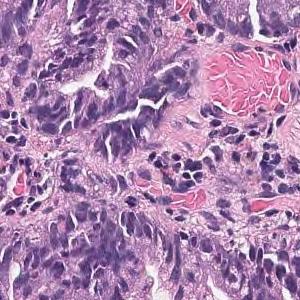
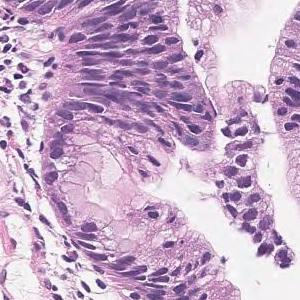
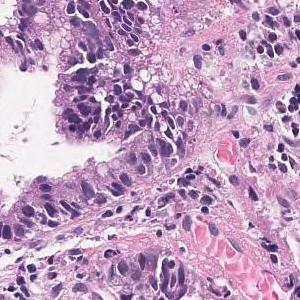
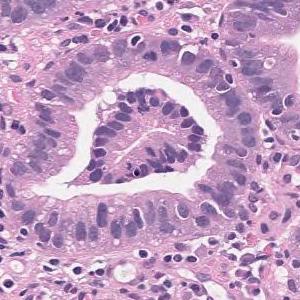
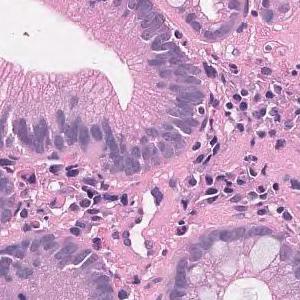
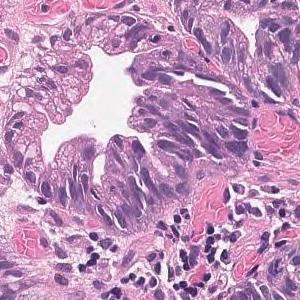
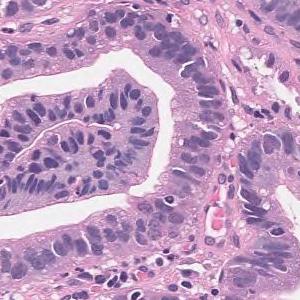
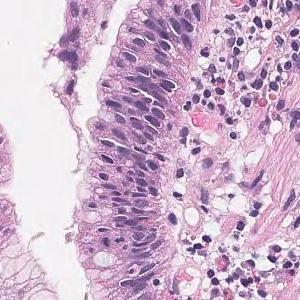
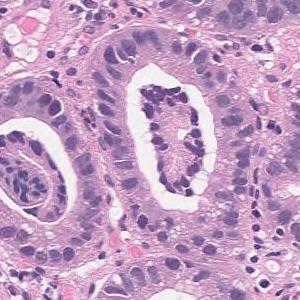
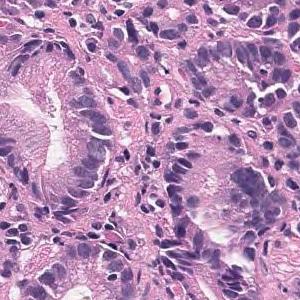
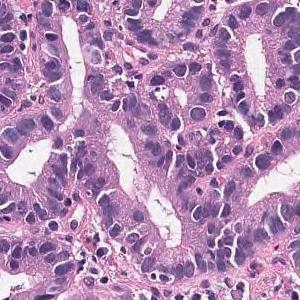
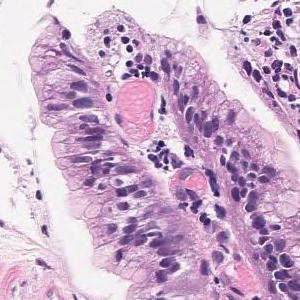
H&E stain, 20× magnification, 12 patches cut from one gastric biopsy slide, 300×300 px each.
Diagnostic report for the slide these tiles come from. What the report and the diagnosis say applies to the whole slide; these tiles may miss some of the features named and may include tissue that is not tumor.
Tumor tissue that grows tubular from the surface to the glandular fossa is seen. Adenocarcinoma.
Tumor subtype: well differentiated tubular adenocarcinoma.
